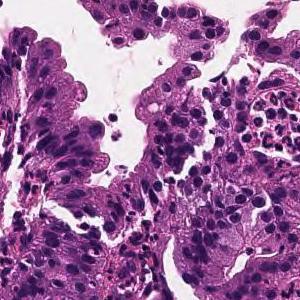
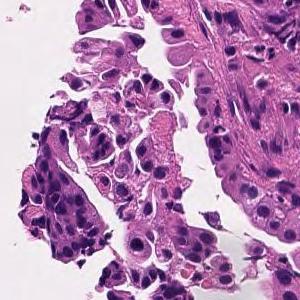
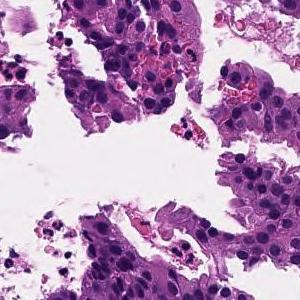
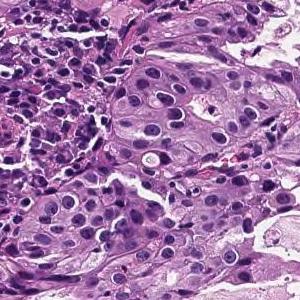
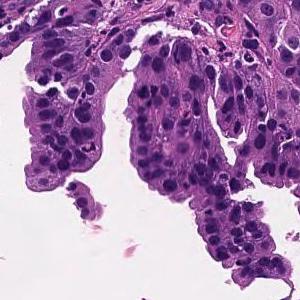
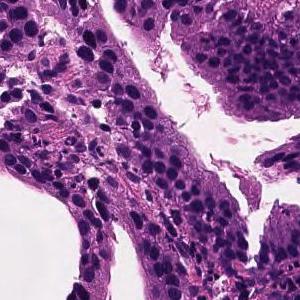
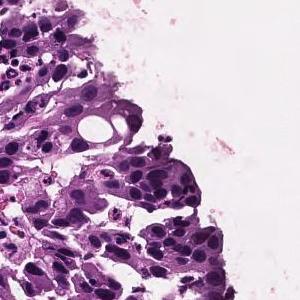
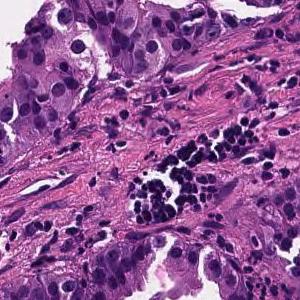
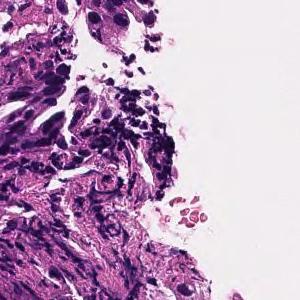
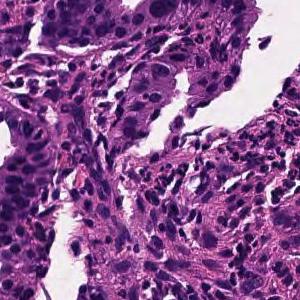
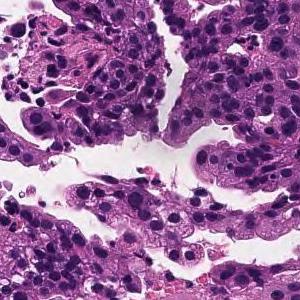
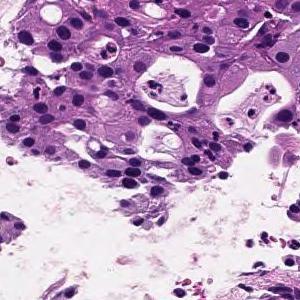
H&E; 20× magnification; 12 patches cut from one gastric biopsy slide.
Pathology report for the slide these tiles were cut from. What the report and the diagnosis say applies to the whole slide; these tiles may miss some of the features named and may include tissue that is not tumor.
On the superficial epithelium, tumor tissue consisting of large, irregular glandular ducts partially fused and infiltrated is observed. Well to moderately differentiated tubular adenocarcinoma (well differentiated tubular adenocarcinoma, moderately differentiated tubular adenocarcinoma)
Histologic type: Well to moderately differentiated tubular adenocarcinoma.
